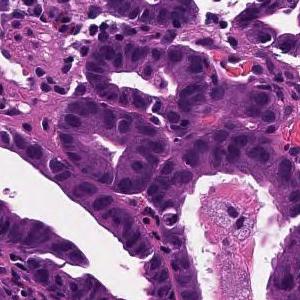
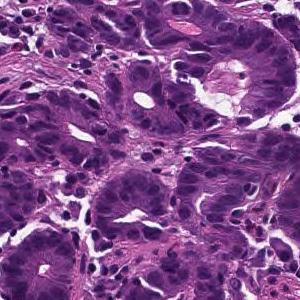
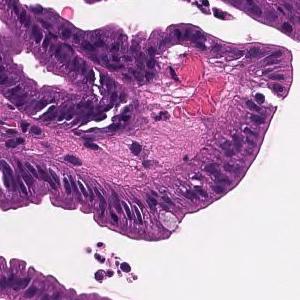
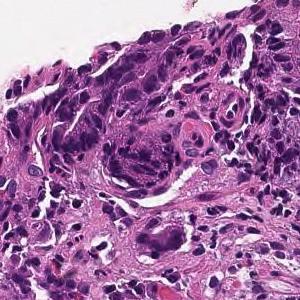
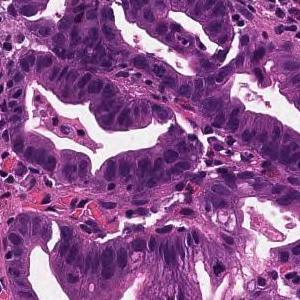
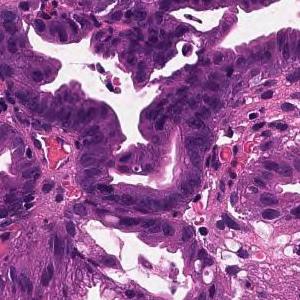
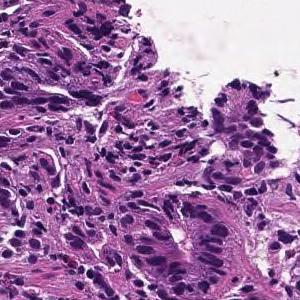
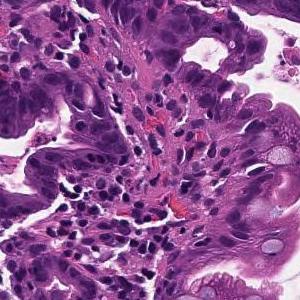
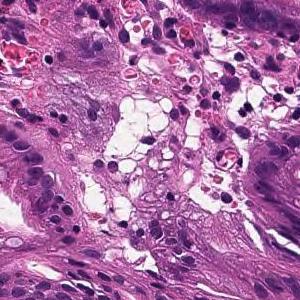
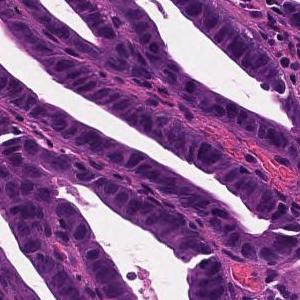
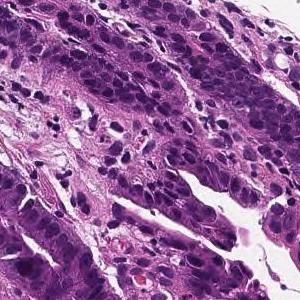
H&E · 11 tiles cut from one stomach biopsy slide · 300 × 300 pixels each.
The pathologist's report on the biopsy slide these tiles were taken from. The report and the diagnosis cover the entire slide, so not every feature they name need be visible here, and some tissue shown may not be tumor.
From the superficial epithelium to the muscularis mucosae, tumor tissue consisting of medium-sized and irregular glandular ducts infiltrating is observed. Well differentiated tubular adenocarcinoma
